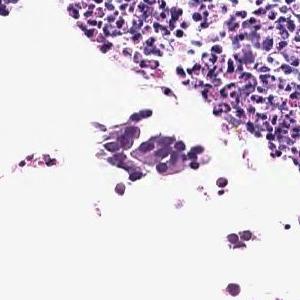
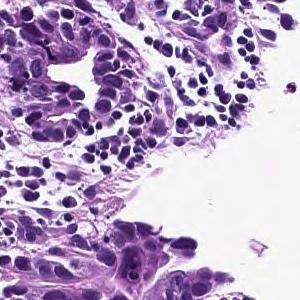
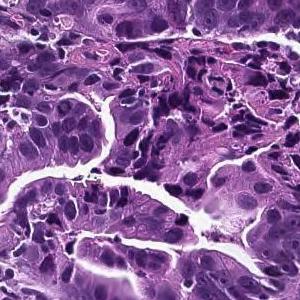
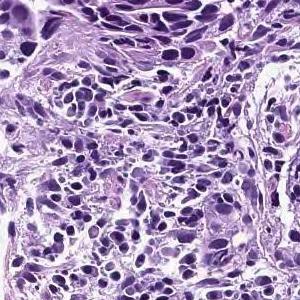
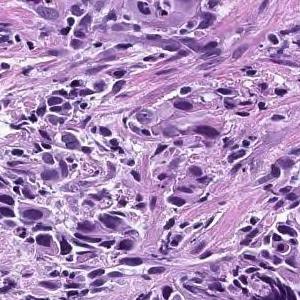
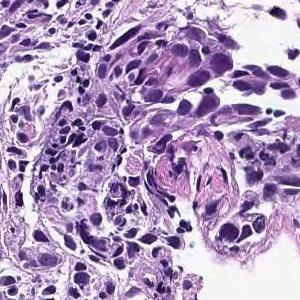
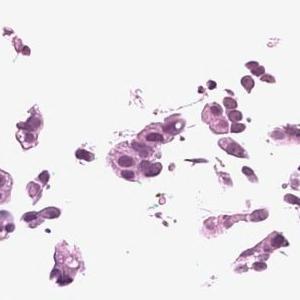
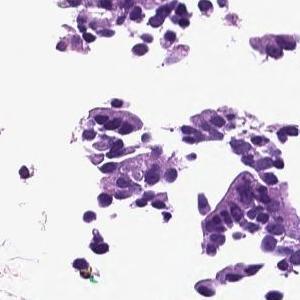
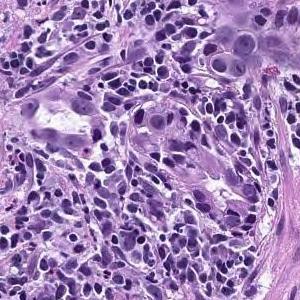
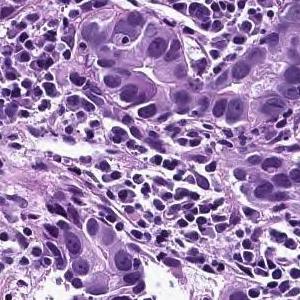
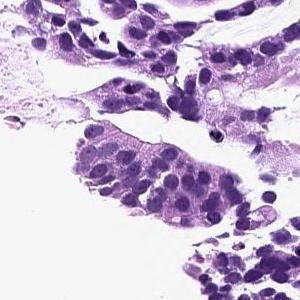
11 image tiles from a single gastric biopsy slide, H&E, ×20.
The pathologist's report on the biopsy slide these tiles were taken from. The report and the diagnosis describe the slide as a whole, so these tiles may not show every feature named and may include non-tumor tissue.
In the superficial epithelium, tumor tissue that invades by forming medium-sized to small, irregular ducts is observed. moderately differentiated tubular adenocarcinoma.
